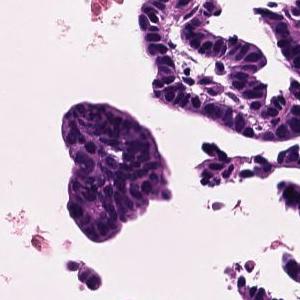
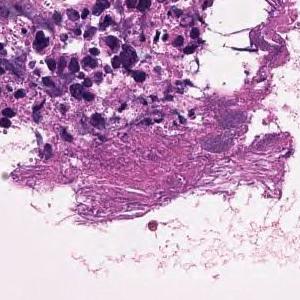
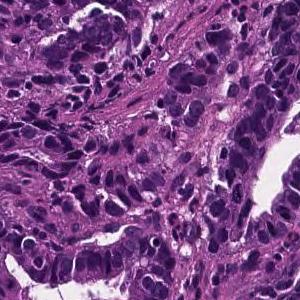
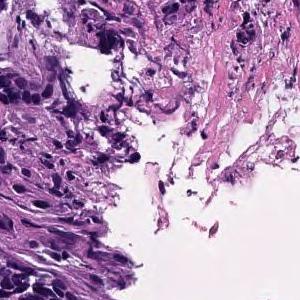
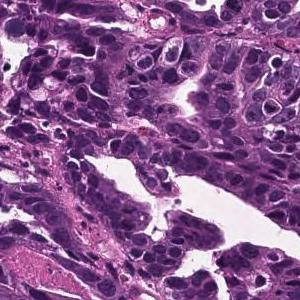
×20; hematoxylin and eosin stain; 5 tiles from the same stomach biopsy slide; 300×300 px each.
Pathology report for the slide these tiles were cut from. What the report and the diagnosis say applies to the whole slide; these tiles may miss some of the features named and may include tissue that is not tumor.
Tumor cells are large, highly columnar, large club-shaped nuclei, and are associated with chromatin aggregation. Papillary adenocarcinoma.
